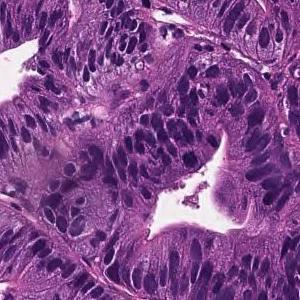
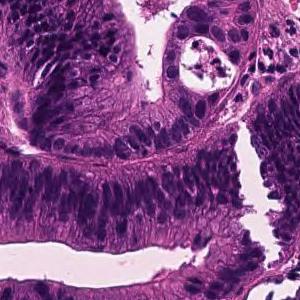
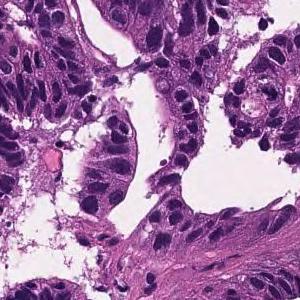
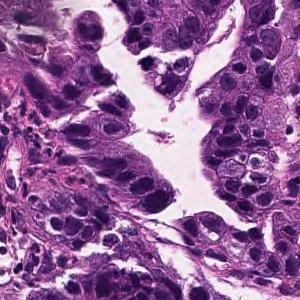
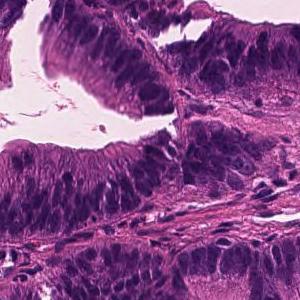
×20; hematoxylin and eosin stain; 5 image tiles from a single gastric biopsy slide; each 300 × 300 pixels.
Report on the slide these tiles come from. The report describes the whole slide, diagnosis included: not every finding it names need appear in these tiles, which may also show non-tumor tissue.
Tumor cells are large, highly columnar, large club-shaped nuclei, and are associated with chromatin aggregation. Papillary adenocarcinoma.
